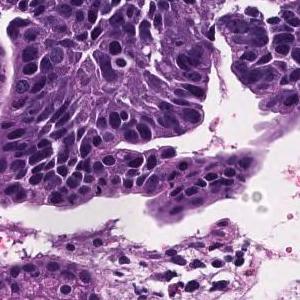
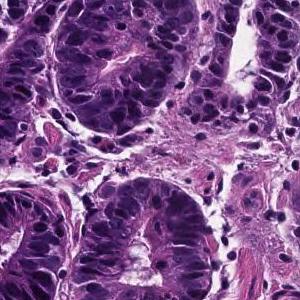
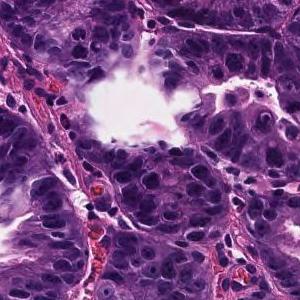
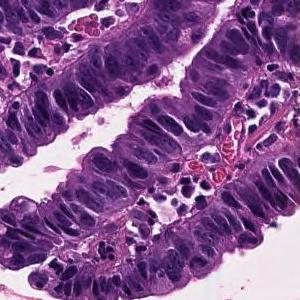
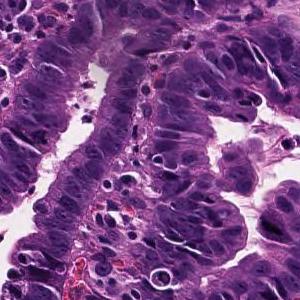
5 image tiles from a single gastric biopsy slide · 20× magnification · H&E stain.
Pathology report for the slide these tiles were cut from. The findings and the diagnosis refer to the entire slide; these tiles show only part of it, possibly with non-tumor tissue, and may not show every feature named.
On the superficial epithelium, tumor tissue consisting of growth of medium-sized to large-sized, round or irregular glandular ducts is observed. Well differentiated tubular adenocarcinoma
